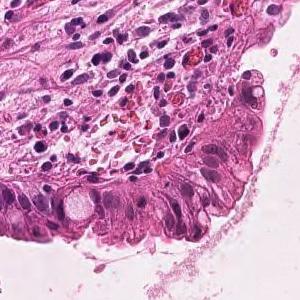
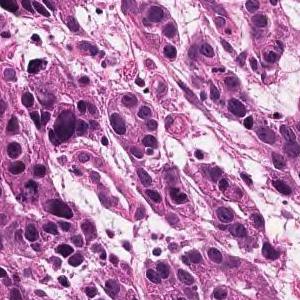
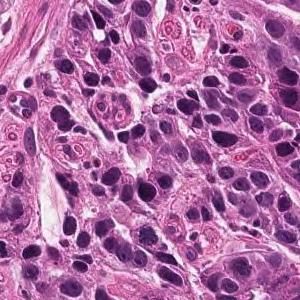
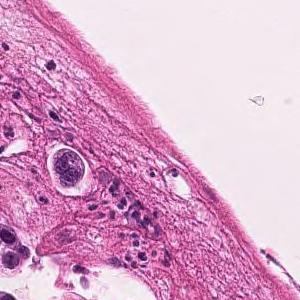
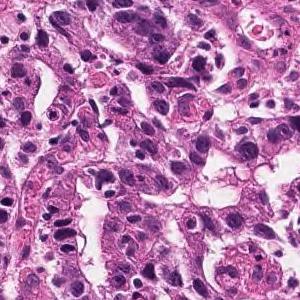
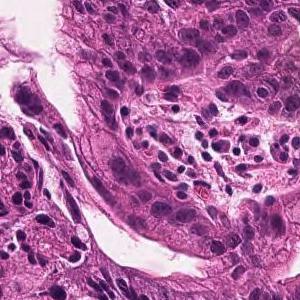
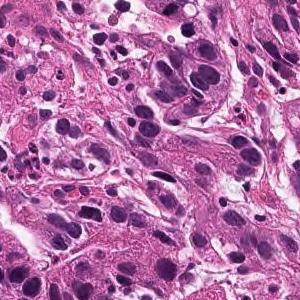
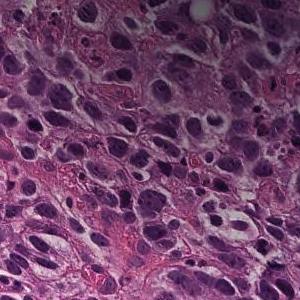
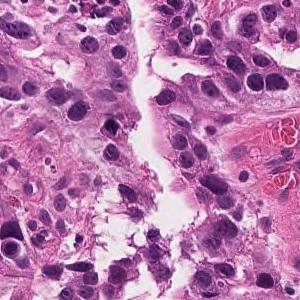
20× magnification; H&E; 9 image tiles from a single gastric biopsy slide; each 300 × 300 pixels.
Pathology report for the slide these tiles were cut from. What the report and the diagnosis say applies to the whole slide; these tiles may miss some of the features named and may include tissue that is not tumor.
Tumor tissue consisting of medium-sized, cord-like or irregular glandular infiltration is observed in the superficial epithelium. Poorly differentiated adenocarcinoma, non-solid type or moderately differentiated tubular adenocarcinoma
Histological subtype: Moderately to poorly differentiated adenocarcinoma.
The non-solid type named here is a Japanese Classification of Gastric Carcinoma category.
